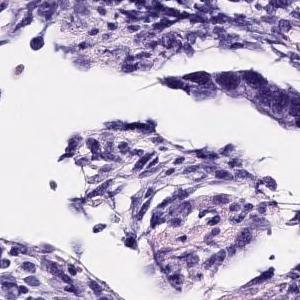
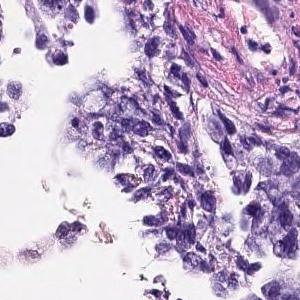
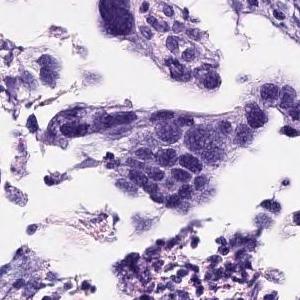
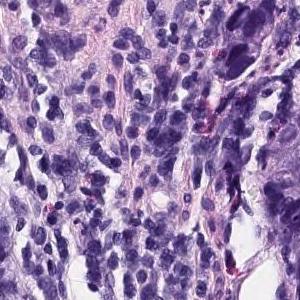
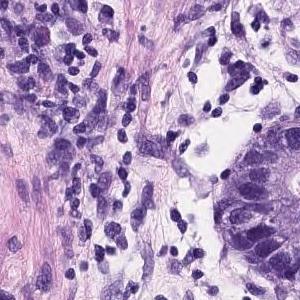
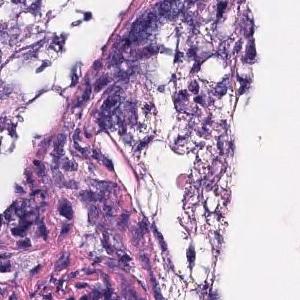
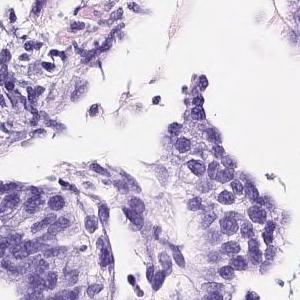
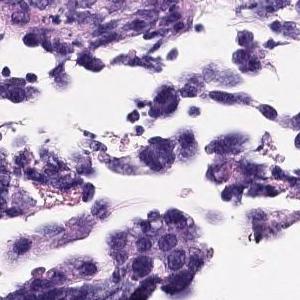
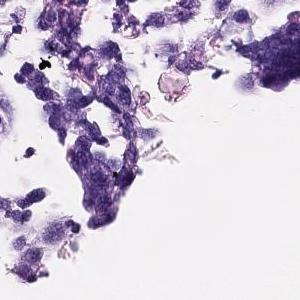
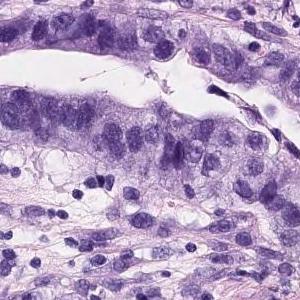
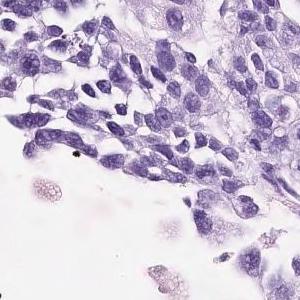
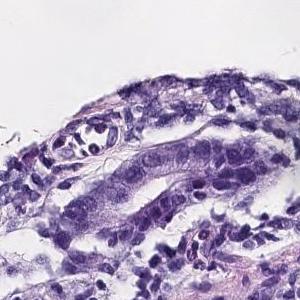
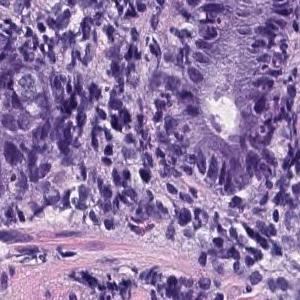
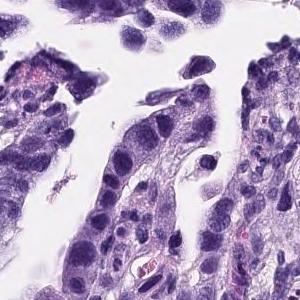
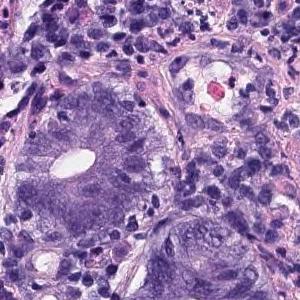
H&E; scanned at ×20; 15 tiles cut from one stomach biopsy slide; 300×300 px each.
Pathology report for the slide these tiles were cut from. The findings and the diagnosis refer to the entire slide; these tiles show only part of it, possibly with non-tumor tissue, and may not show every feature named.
On the superficial epithelium, tumor tissue consisting of medium to small irregular tubules partially fused and proliferated is observed. moderately differentiated tubular adenocarcinoma
